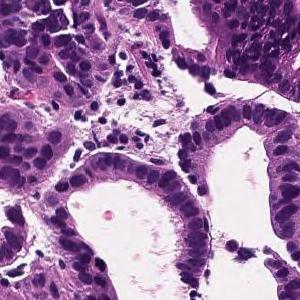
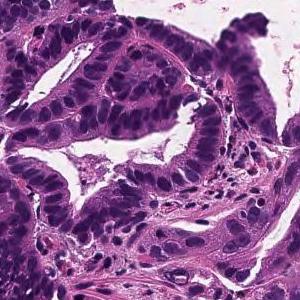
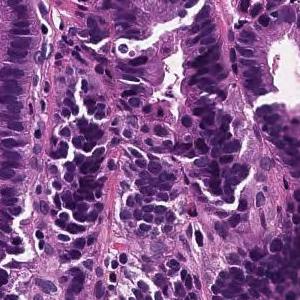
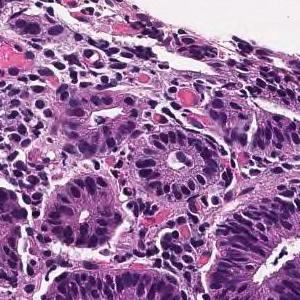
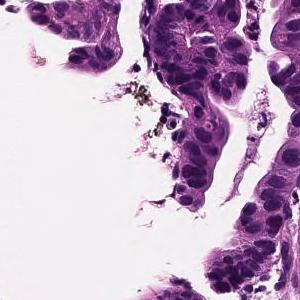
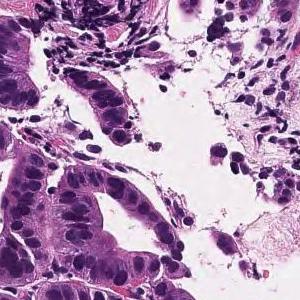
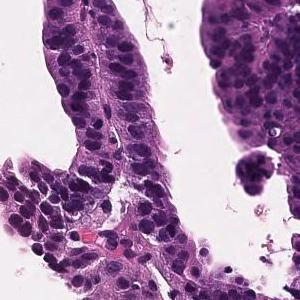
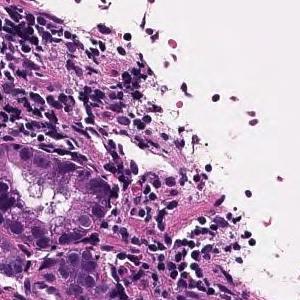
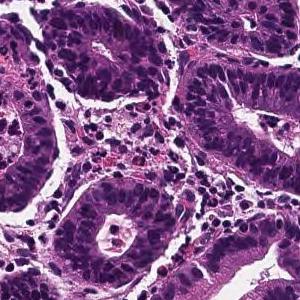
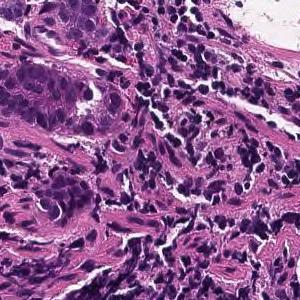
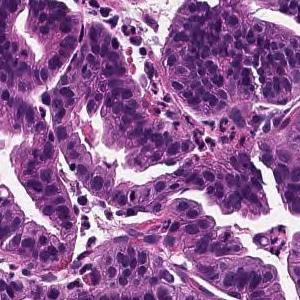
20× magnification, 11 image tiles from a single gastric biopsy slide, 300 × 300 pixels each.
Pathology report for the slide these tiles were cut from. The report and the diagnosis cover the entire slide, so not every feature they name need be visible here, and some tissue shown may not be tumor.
From the superficial epithelium to the muscularis mucosae, tumor tissue that invades by forming medium-sized to small irregular gland ducts is observed. Well differentiated tubular adenocarcinoma (well differentiated tubular adenocarcinoma)
Histological subtype: Well differentiated tubular adenocarcinoma.
